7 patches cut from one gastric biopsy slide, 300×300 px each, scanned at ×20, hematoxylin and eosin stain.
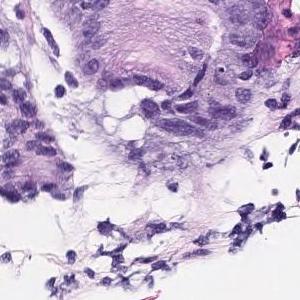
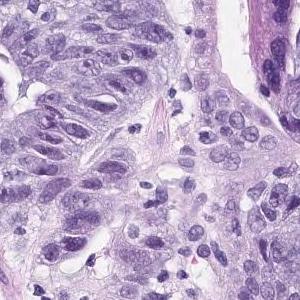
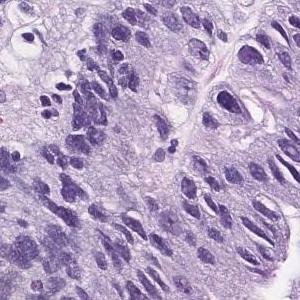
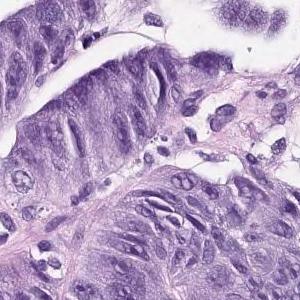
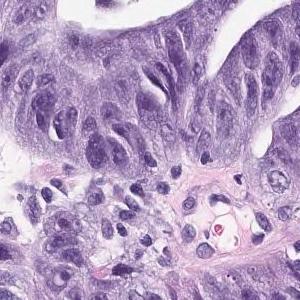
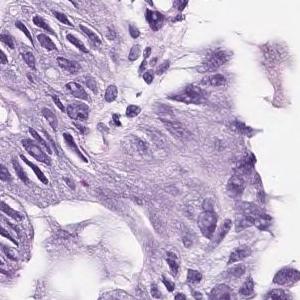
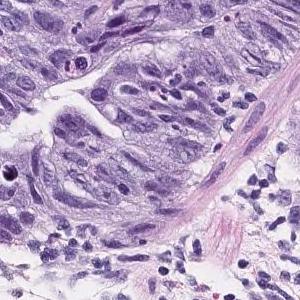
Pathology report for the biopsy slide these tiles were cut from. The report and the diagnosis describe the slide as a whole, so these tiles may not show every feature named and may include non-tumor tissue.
In the superficial epithelium, tumor tissue that invades by forming medium-sized to small, irregular ducts is observed. Moderately differentiated adenocarcinoma.
Histological subtype: Moderately differentiated tubular adenocarcinoma.
